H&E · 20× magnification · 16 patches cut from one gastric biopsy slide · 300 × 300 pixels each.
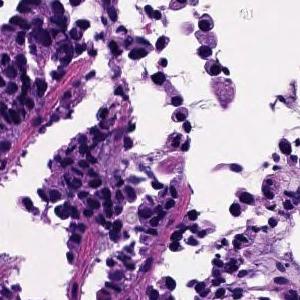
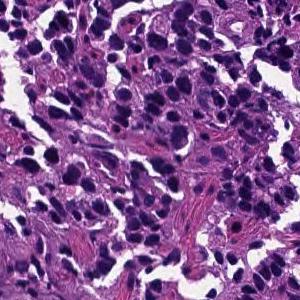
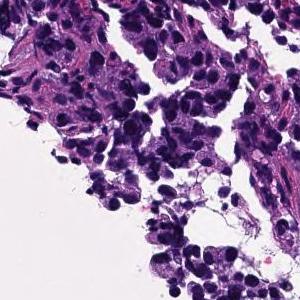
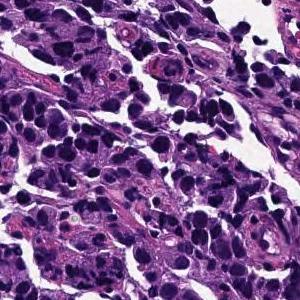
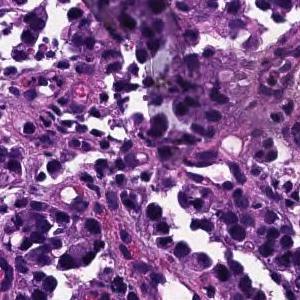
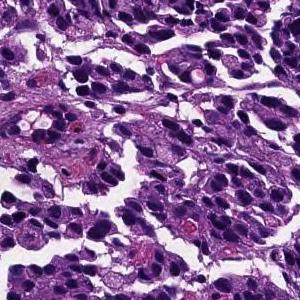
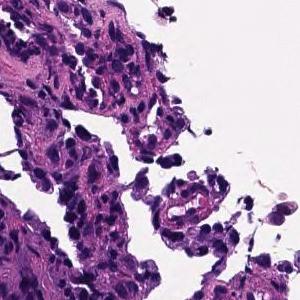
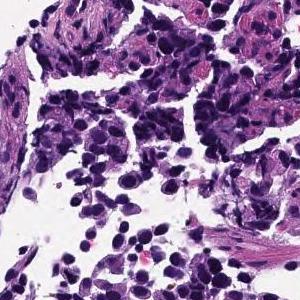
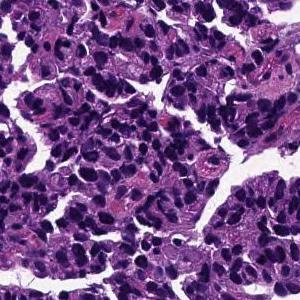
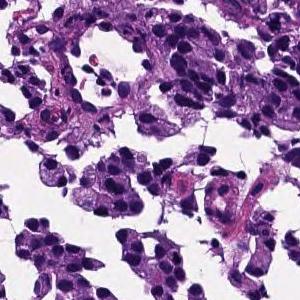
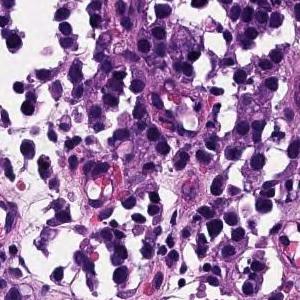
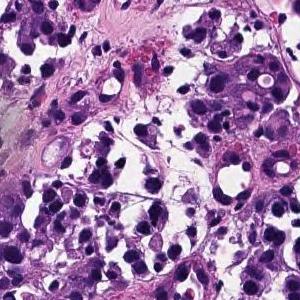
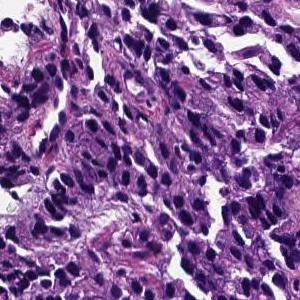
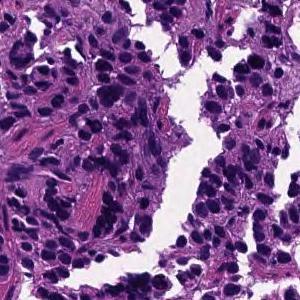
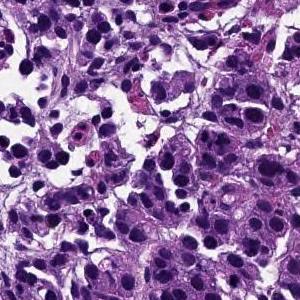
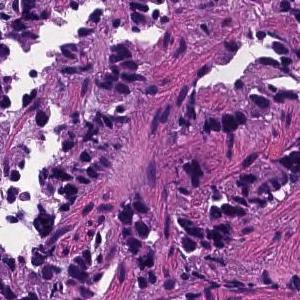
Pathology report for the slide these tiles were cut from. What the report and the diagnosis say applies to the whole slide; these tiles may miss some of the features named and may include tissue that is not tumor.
The superficial epithelium shows a large alveolar shape and infiltrates tumor tissue. Poorly differentiated adenocarcinoma, solid-type
Histological subtype: Poorly differentiated adenocarcinoma, solid type (Japanese Classification of Gastric Carcinoma). The WHO 2019 equivalent is tubular adenocarcinoma, poorly differentiated.
